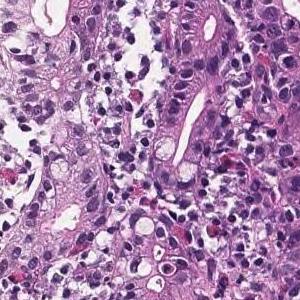
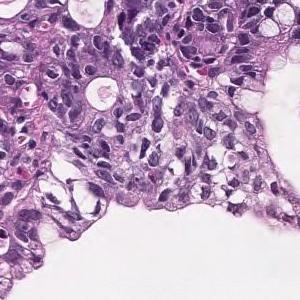
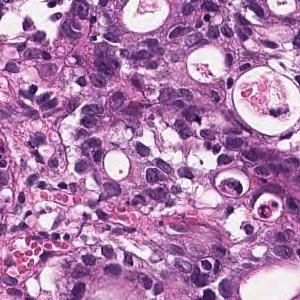
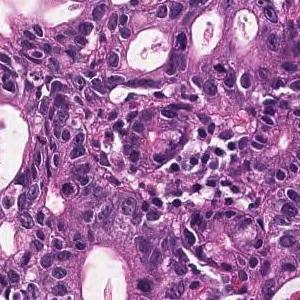
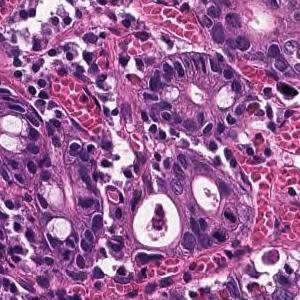
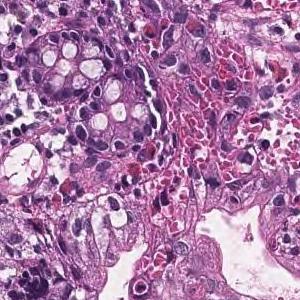
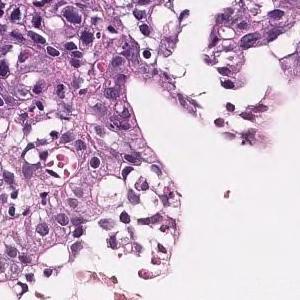
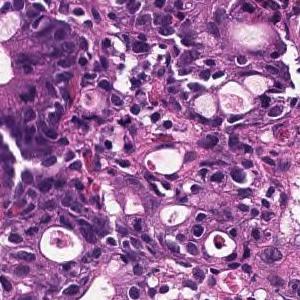
H&E stain; scanned at ×20; 8 tiles cut from one stomach biopsy slide; 300 × 300 pixels each.
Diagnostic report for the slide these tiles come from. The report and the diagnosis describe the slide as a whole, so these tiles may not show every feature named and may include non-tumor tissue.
In the superficial epithelium, tumor tissue that invades by forming medium-sized to small, irregular ducts is observed. Moderately differentiated adenocarcinoma.
Subtype: Moderately differentiated tubular adenocarcinoma.
